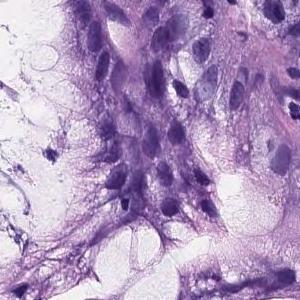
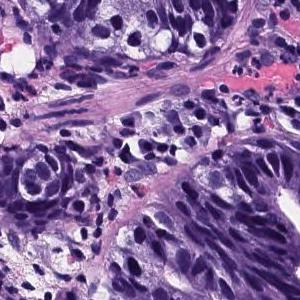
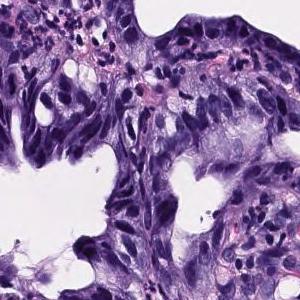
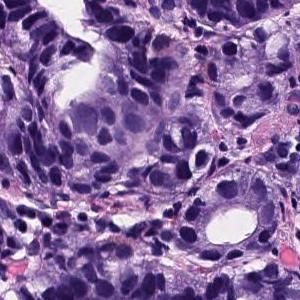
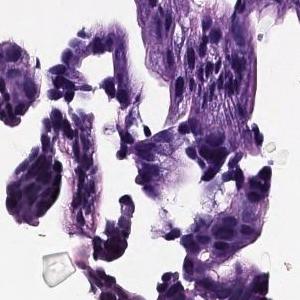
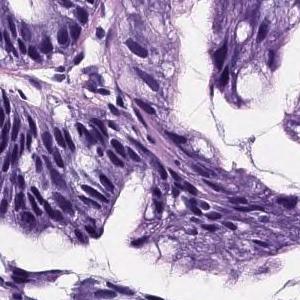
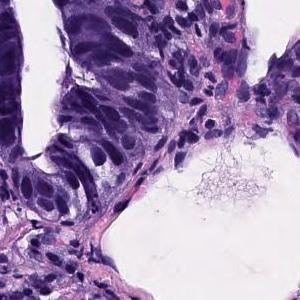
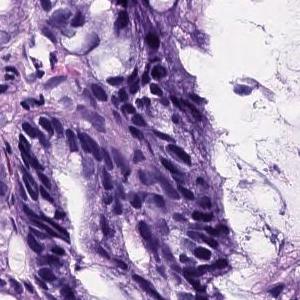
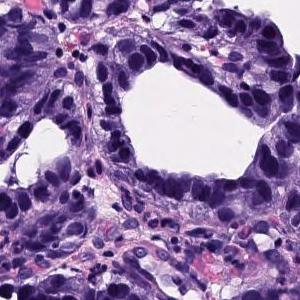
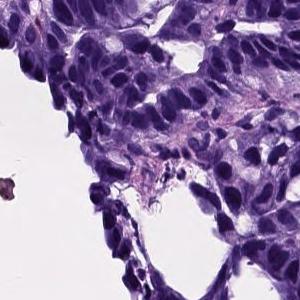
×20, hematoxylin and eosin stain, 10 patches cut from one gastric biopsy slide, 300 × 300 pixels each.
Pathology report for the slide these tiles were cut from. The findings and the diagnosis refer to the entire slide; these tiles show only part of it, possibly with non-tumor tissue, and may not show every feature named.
Large atypical cells which form medium to large ducts are proliferating. Well differentiated adenocarcinoma (well differentiated tubular adenocarcinoma)
Classified as well differentiated tubular adenocarcinoma.
